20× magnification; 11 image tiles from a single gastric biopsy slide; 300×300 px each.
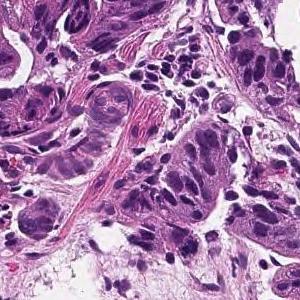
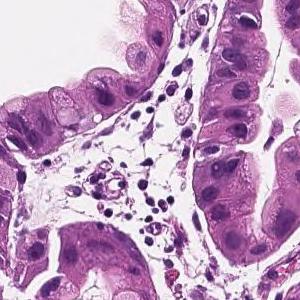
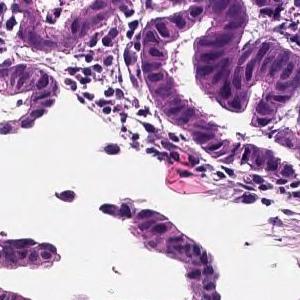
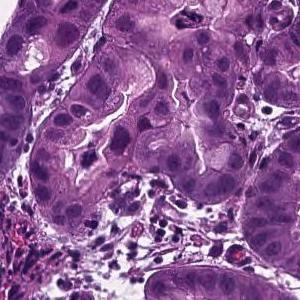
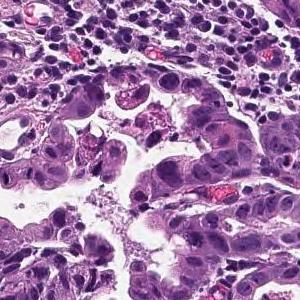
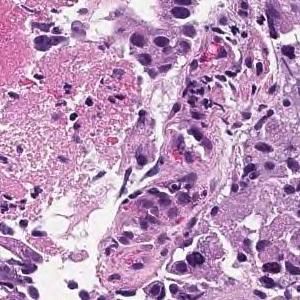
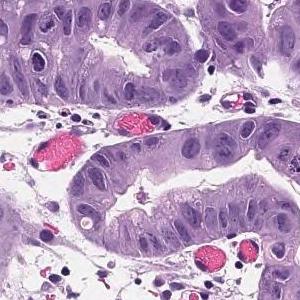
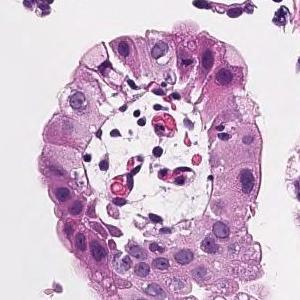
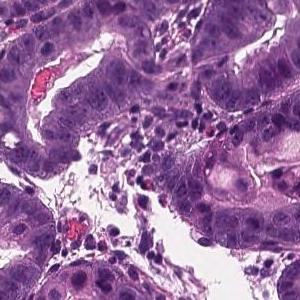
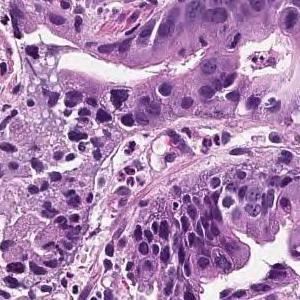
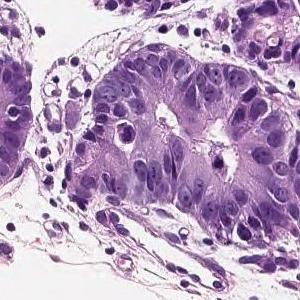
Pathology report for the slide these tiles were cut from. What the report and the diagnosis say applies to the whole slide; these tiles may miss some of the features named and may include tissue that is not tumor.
On the superficial epithelium, tumor tissue that infiltrates by forming medium-sized papillary or small irregular ducts is observed. Papillary adenocarcinoma
